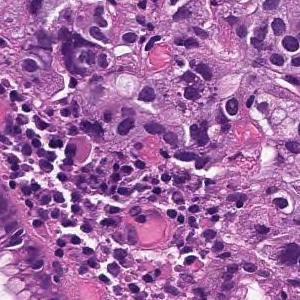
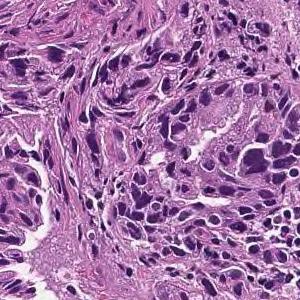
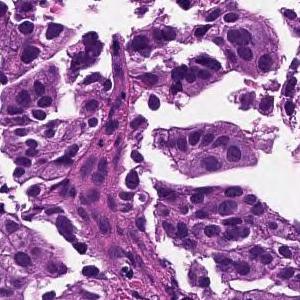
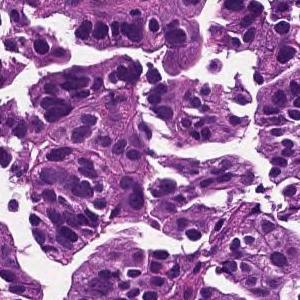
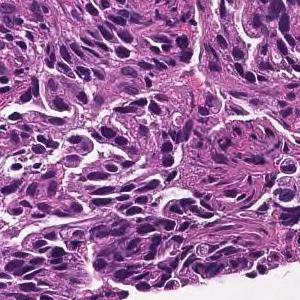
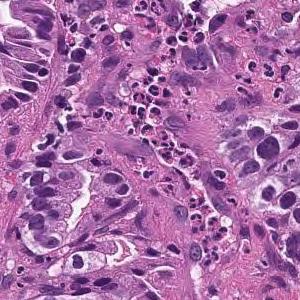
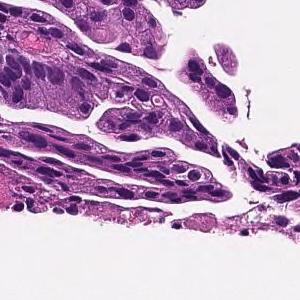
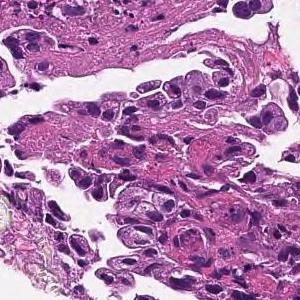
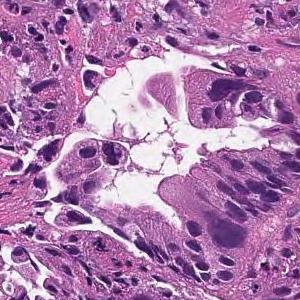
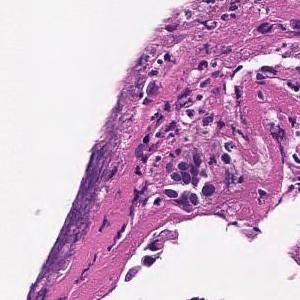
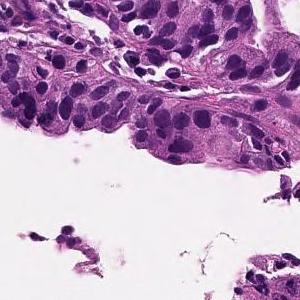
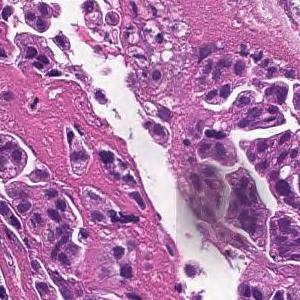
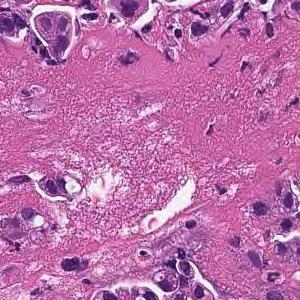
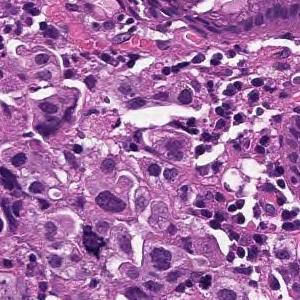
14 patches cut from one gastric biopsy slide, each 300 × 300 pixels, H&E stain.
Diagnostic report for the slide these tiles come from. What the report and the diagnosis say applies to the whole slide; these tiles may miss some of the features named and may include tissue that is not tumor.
Medium to small, irregular glandular ducts are formed in the superficial epithelium, and in some cases, the glandular ducts are fused to show solid alveolar lesions and infiltrating tumor tissue is observed. Moderately to poorly differentiated adenocarcinoma.
